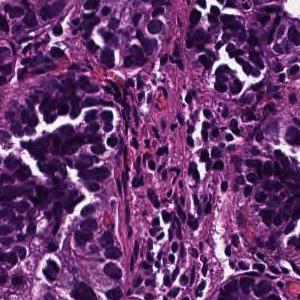
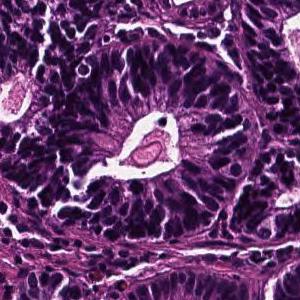
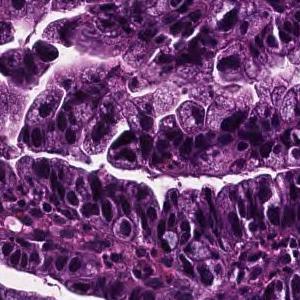
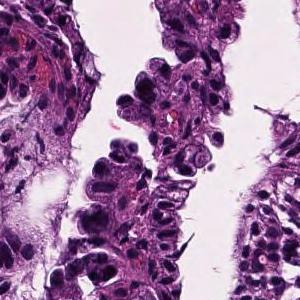
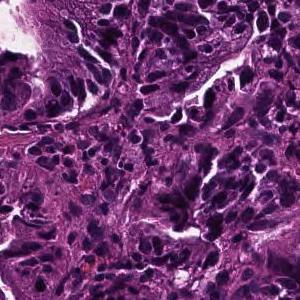
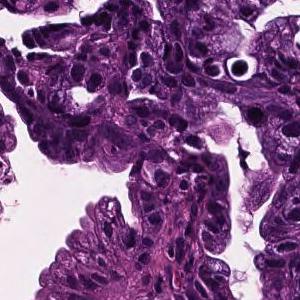
×20, H&E, 6 patches cut from one gastric biopsy slide, each 300 × 300 pixels.
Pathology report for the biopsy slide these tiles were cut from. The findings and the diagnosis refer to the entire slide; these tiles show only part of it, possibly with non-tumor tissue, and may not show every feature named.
In the superficial epithelium, tumor tissue that invades by forming medium-sized to small, irregular ducts is observed. Well differentiated tubular adenocarcinoma.
